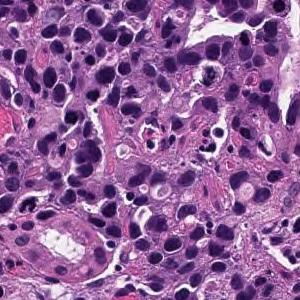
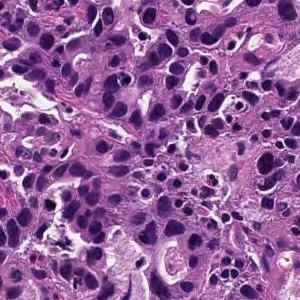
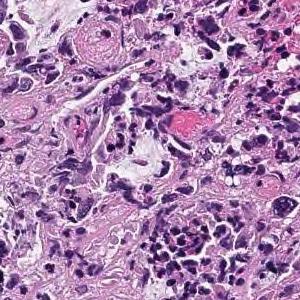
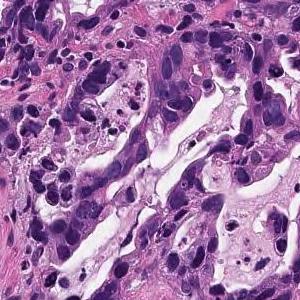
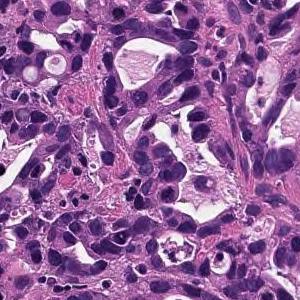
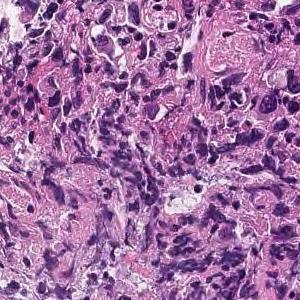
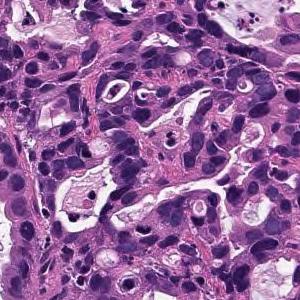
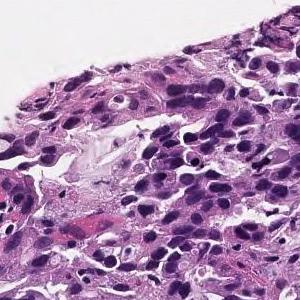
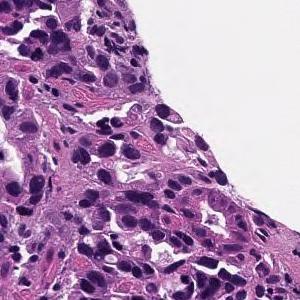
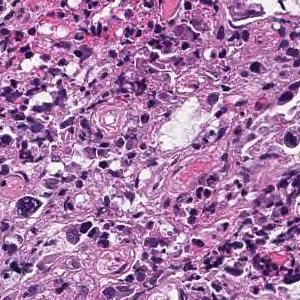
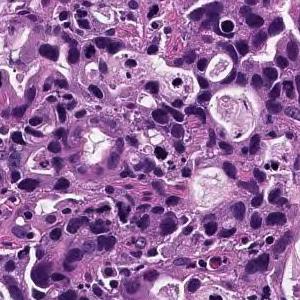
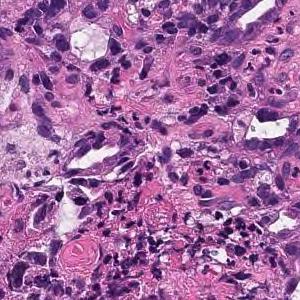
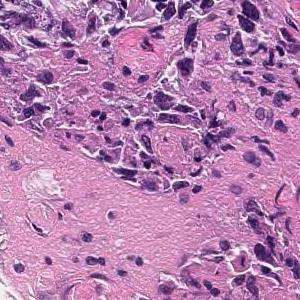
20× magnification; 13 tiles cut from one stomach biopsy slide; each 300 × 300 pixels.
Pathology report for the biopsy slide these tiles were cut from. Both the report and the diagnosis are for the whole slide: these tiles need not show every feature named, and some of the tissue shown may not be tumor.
In the superficial epithelium, tumor tissue that invades by forming medium-sized to small, irregular ducts is observed. moderately differentiated tubular adenocarcinoma.
